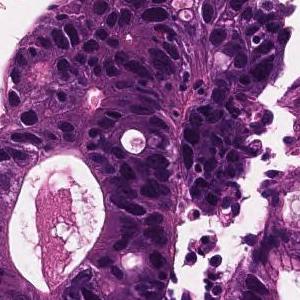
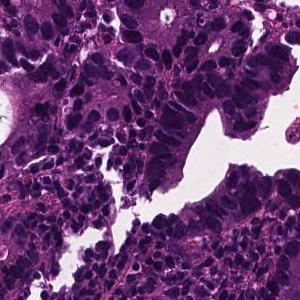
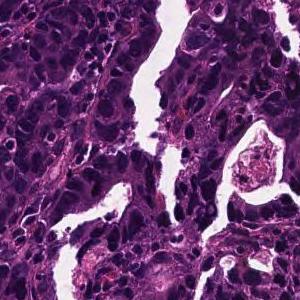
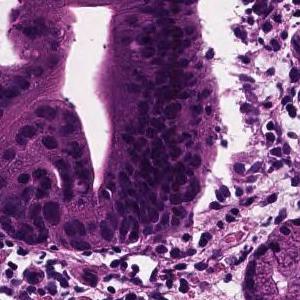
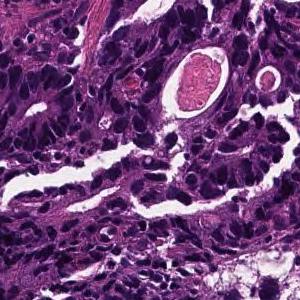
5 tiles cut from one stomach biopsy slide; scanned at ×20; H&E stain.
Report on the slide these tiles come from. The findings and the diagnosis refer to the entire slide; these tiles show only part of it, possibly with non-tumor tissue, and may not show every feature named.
In the superficial epithelium, tumor tissue that invades by forming medium-sized to small, irregular ducts is observed. moderately differentiated tubular adenocarcinoma.
